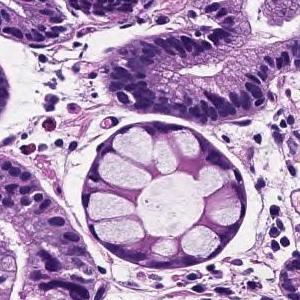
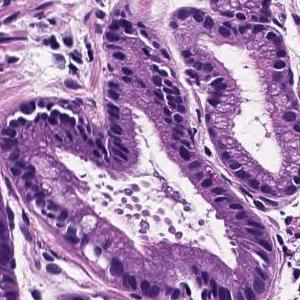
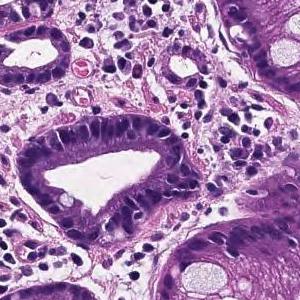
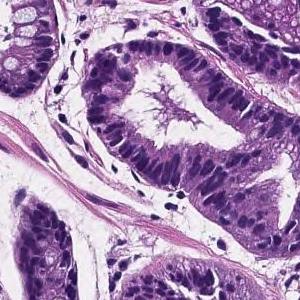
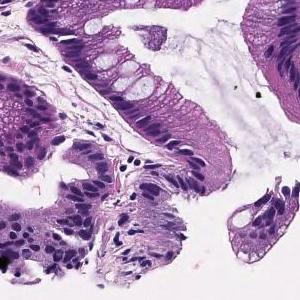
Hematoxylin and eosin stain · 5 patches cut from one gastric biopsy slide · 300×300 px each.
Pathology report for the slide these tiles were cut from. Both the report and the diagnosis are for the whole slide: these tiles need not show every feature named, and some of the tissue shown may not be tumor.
Tumor cells are large, highly columnar, large club-shaped nuclei, and are associated with chromatin aggregation. Papillary adenocarcinoma.
